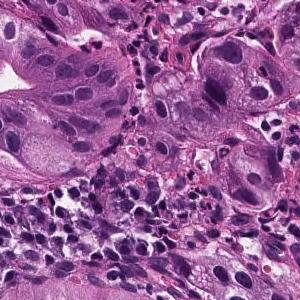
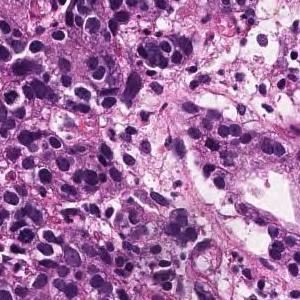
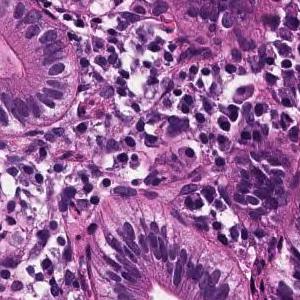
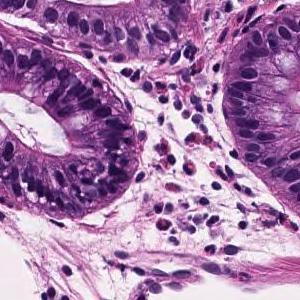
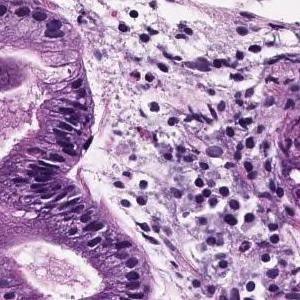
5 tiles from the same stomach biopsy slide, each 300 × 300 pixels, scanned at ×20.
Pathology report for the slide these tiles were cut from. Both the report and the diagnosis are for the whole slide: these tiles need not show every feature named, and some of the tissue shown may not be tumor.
In the superficial epithelium, tumor tissue that invades by forming medium-sized to small, irregular ducts is observed. moderately differentiated tubular adenocarcinoma.
